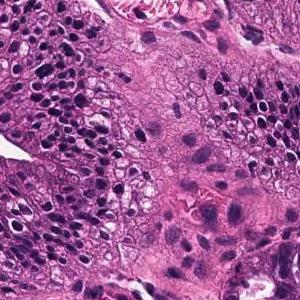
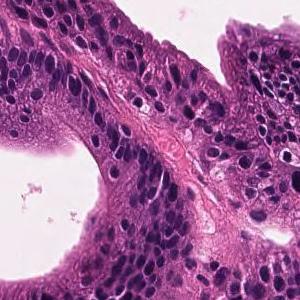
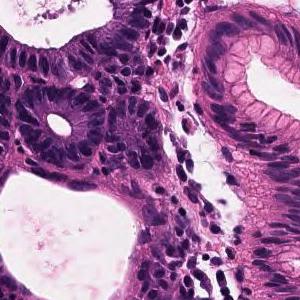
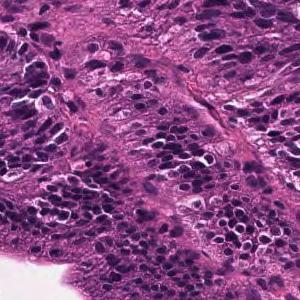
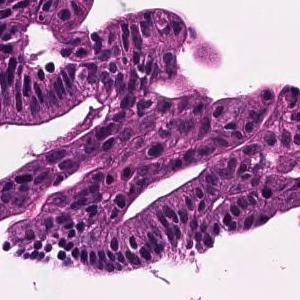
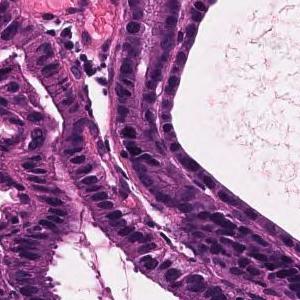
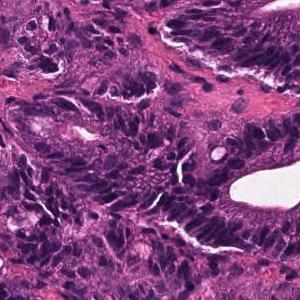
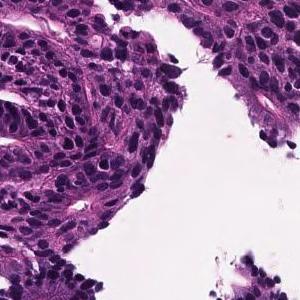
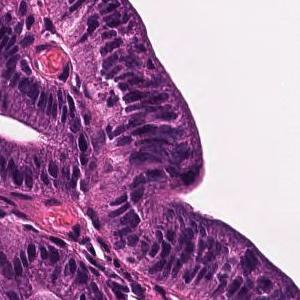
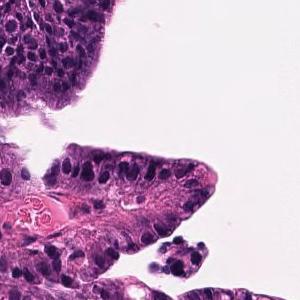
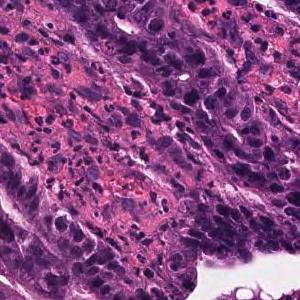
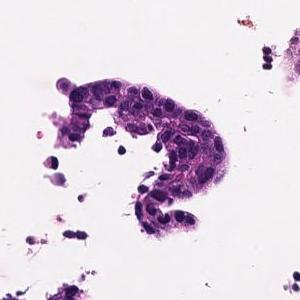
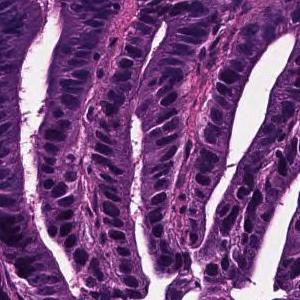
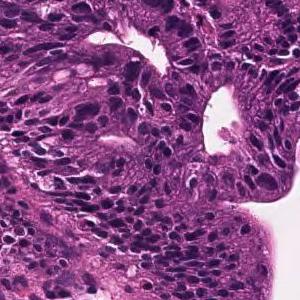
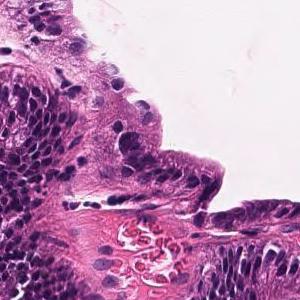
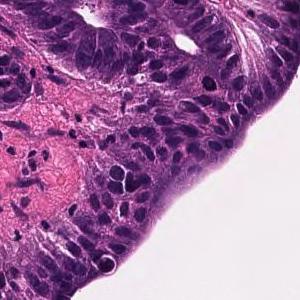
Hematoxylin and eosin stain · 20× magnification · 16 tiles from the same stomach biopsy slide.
Diagnostic report for the slide these tiles come from. The findings and the diagnosis refer to the entire slide; these tiles show only part of it, possibly with non-tumor tissue, and may not show every feature named.
Tumor tissue that remains within the superficial epithelium and is infiltrated by large papillary or irregular ducts that fuse with each other is observed. Well differentiated tubular adenocarcinoma
